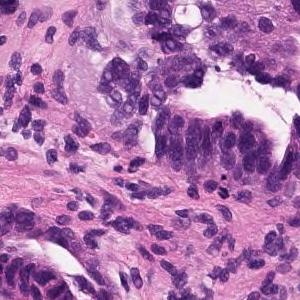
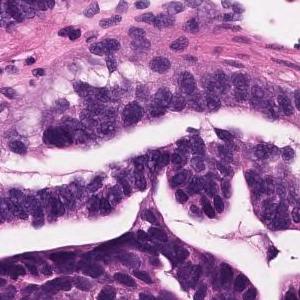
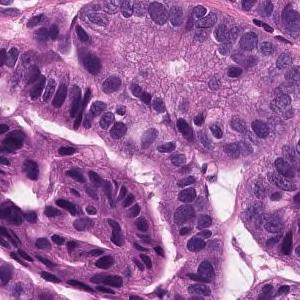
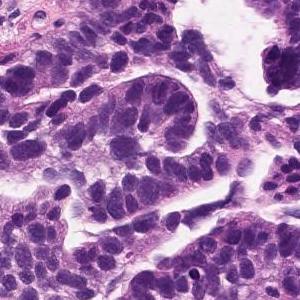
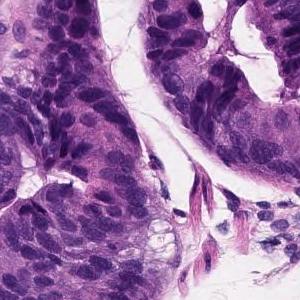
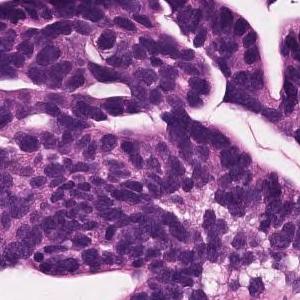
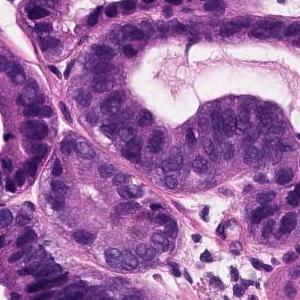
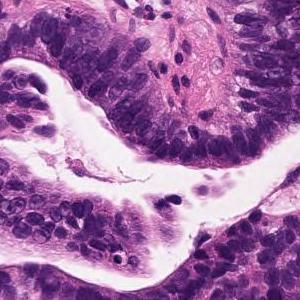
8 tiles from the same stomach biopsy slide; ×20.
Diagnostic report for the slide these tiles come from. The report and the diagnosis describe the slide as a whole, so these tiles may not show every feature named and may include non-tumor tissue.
Atypical epithelium with tight nuclei shows irregular or sieving duct construction and proliferates. Well to moderately differentiated tubular adenocarcinoma (well differentiated tubular adenocarcinoma-moderately differentiated tubular adenocarcinoma)
Histologic type: Well to moderately differentiated tubular adenocarcinoma.
